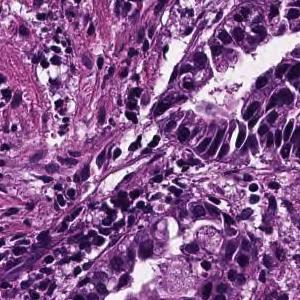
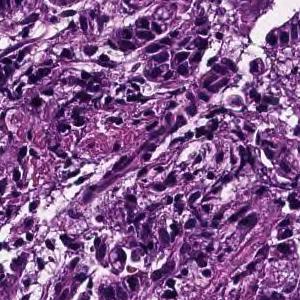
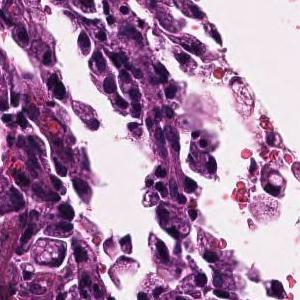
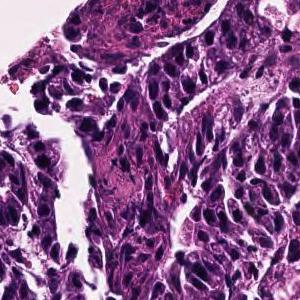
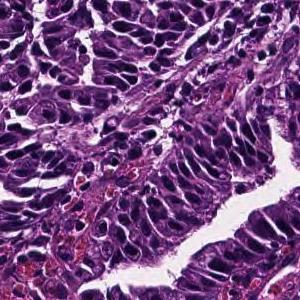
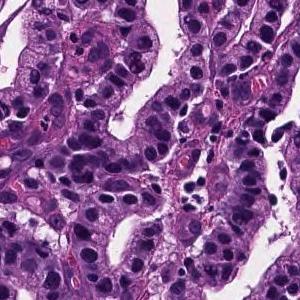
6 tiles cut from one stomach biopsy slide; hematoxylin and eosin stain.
The pathologist's report on the biopsy slide these tiles were taken from. What the report and the diagnosis say applies to the whole slide; these tiles may miss some of the features named and may include tissue that is not tumor.
Tumor cells are large, highly columnar, large club-shaped nuclei, and are associated with chromatin aggregation. Papillary adenocarcinoma.
